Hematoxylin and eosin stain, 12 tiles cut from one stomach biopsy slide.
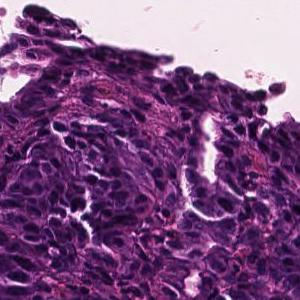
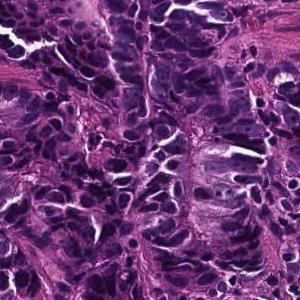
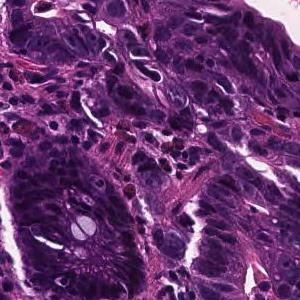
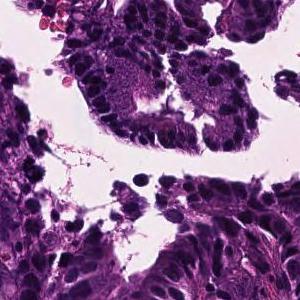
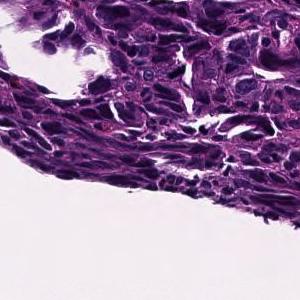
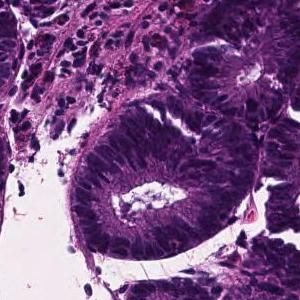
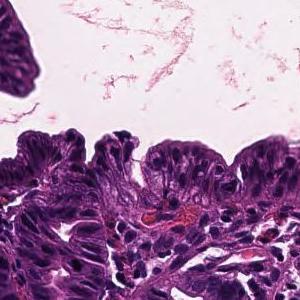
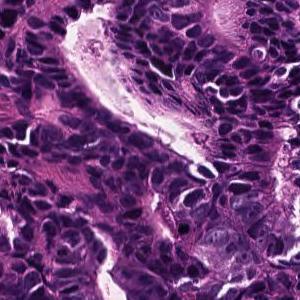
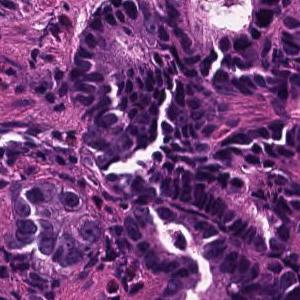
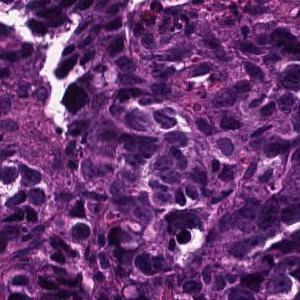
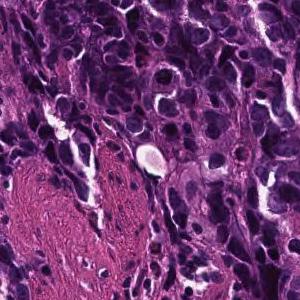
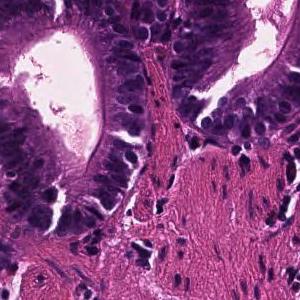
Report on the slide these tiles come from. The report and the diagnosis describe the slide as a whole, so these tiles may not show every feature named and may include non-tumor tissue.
In the superficial epithelium, tumor tissue that invades by forming medium-sized to small, irregular ducts is observed. moderately differentiated tubular adenocarcinoma.
